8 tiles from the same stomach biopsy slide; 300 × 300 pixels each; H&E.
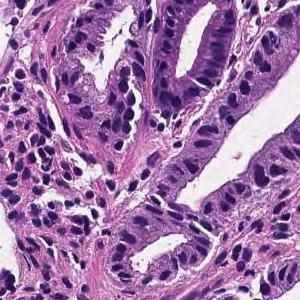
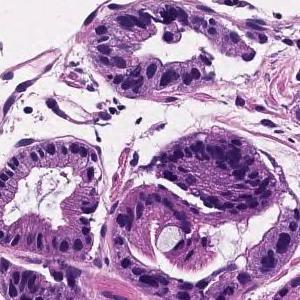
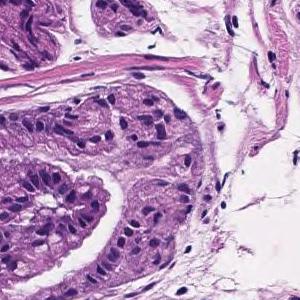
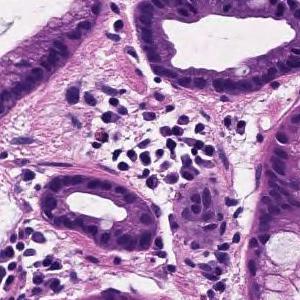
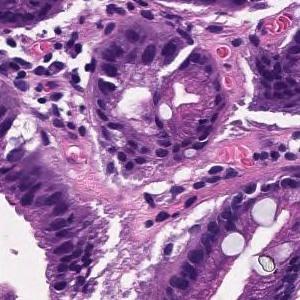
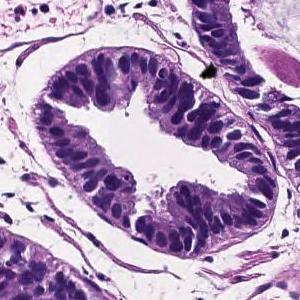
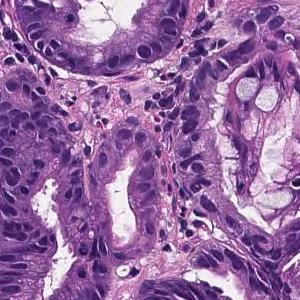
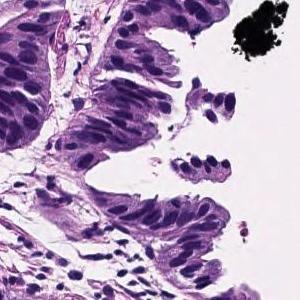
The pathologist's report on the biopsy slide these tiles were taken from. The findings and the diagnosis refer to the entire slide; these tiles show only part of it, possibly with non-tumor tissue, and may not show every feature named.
Tumor cells are large, highly columnar, large club-shaped nuclei, and are associated with chromatin aggregation. Papillary adenocarcinoma.
